4 image tiles from a single gastric biopsy slide · H&E · 20× magnification.
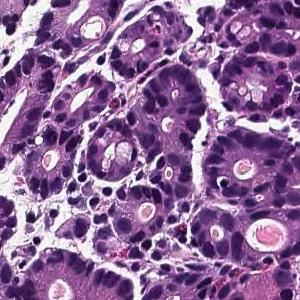
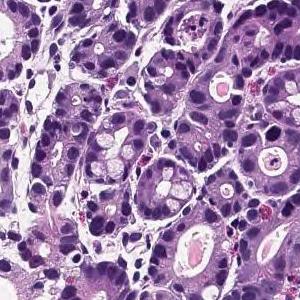
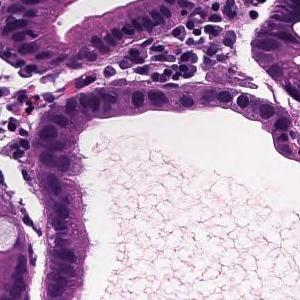
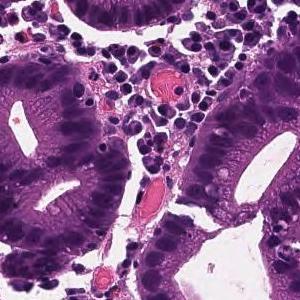
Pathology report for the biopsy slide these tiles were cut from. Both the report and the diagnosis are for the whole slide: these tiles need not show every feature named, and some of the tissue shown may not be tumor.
Cancer cells with strongly atypical nuclei grow while forming ducts showing lumens of various sizes. moderately differentiated tubular adenocarcinoma
